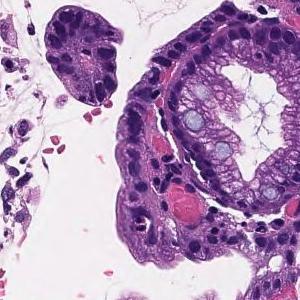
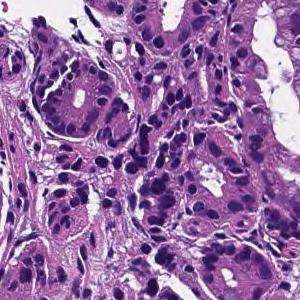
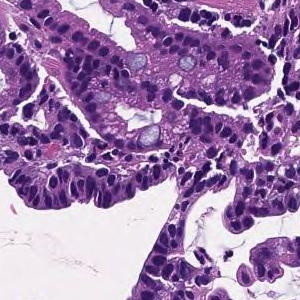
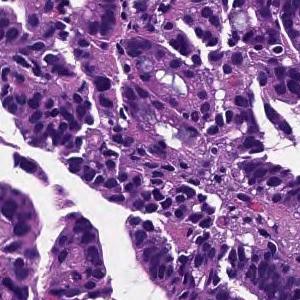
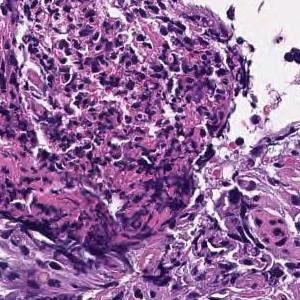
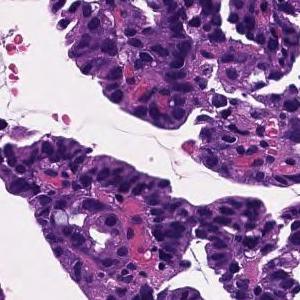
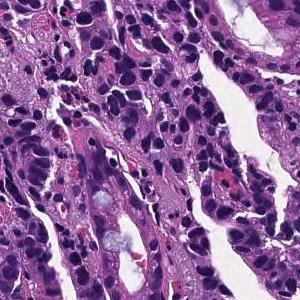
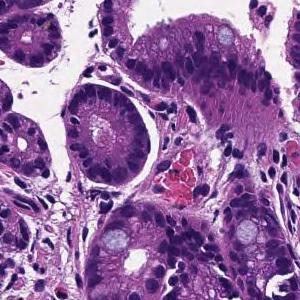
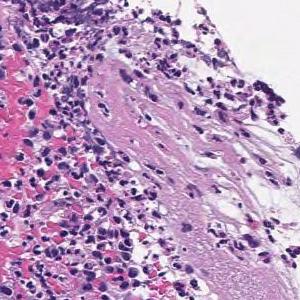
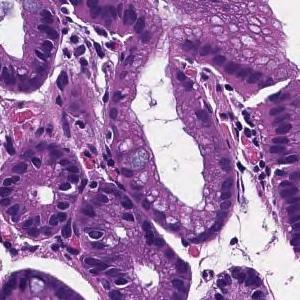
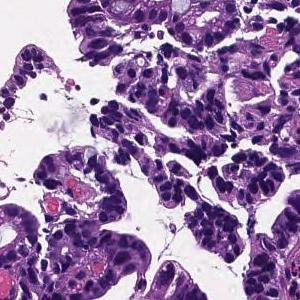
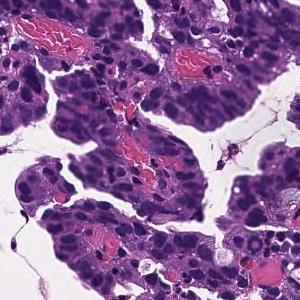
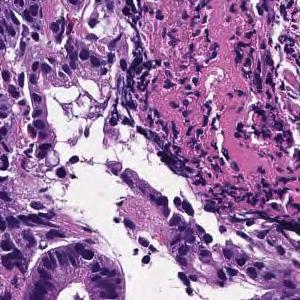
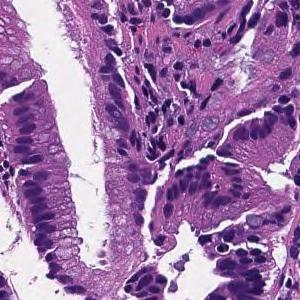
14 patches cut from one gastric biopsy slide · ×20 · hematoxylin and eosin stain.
Report on the slide these tiles come from. The report and the diagnosis describe the slide as a whole, so these tiles may not show every feature named and may include non-tumor tissue.
Tumor cells are large, highly columnar, large club-shaped nuclei, and are associated with chromatin aggregation. Papillary adenocarcinoma.
